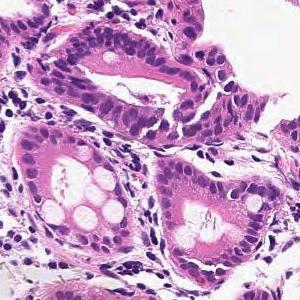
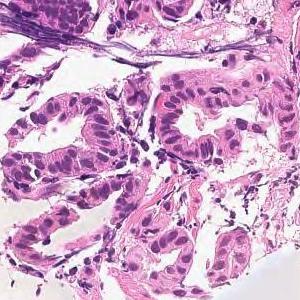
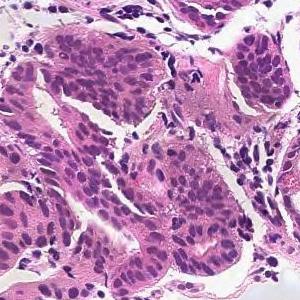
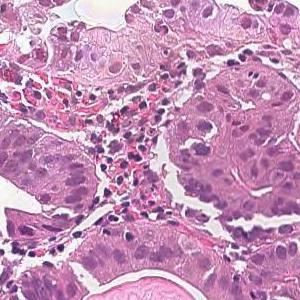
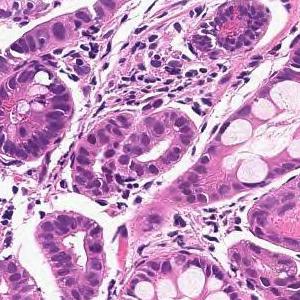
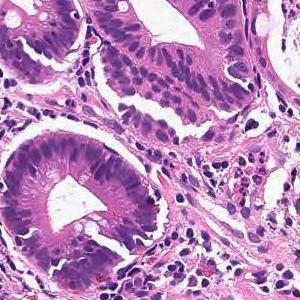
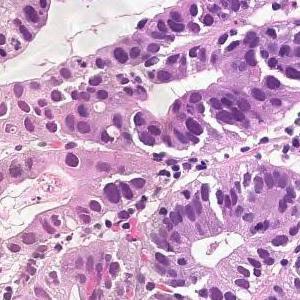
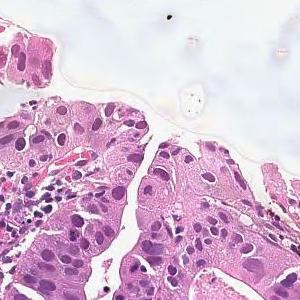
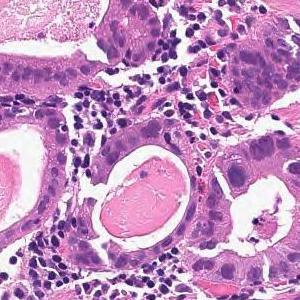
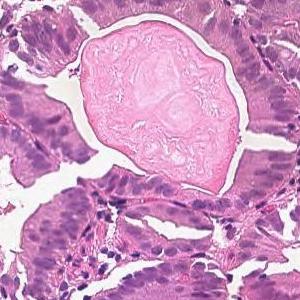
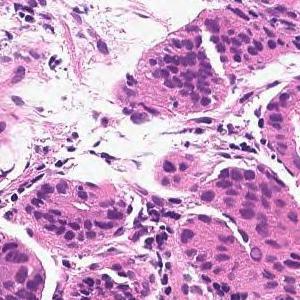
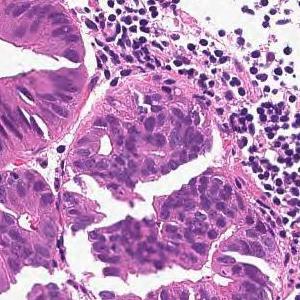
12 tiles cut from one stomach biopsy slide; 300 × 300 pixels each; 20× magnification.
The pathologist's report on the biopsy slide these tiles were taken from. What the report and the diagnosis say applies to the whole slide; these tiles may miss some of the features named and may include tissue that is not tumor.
From the superficial epithelium to the muscularis mucosae, tumor tissue consisting of medium-sized and irregular glandular ducts infiltrating is observed. Well differentiated tubular adenocarcinoma
